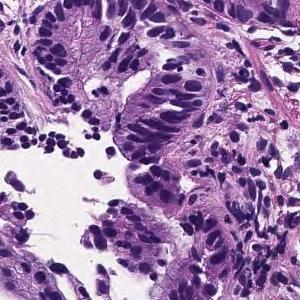
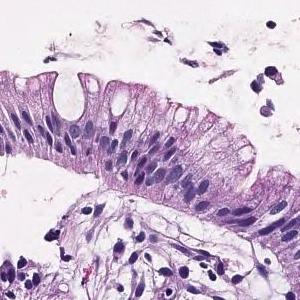
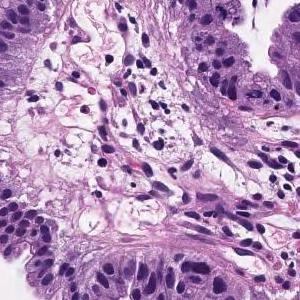
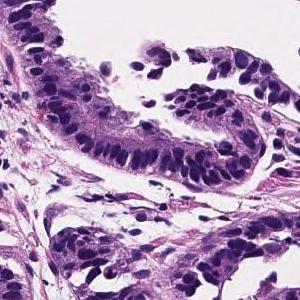
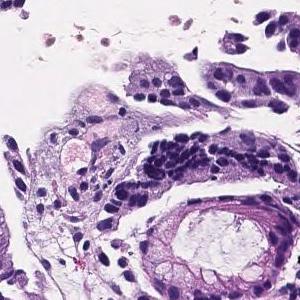
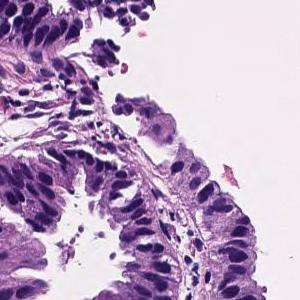
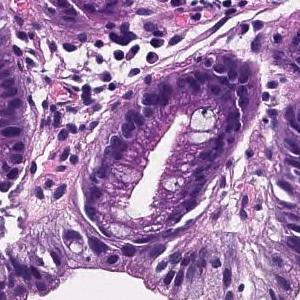
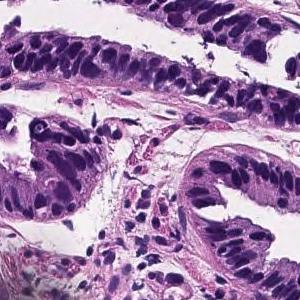
8 image tiles from a single gastric biopsy slide, 20× magnification, H&E stain.
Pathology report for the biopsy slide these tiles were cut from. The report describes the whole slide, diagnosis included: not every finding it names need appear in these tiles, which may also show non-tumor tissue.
Tumor cells are large, highly columnar, large club-shaped nuclei, and are associated with chromatin aggregation. Papillary adenocarcinoma.
